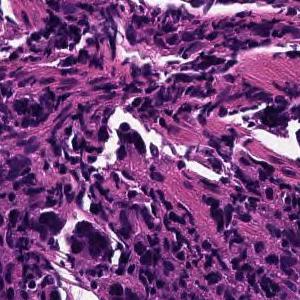
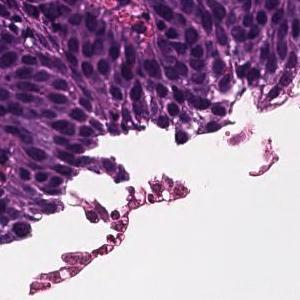
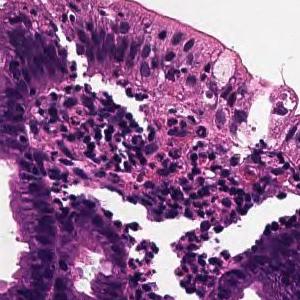
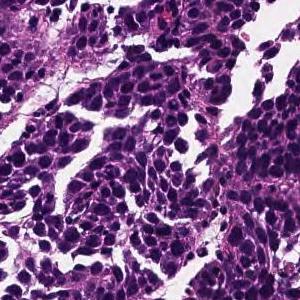
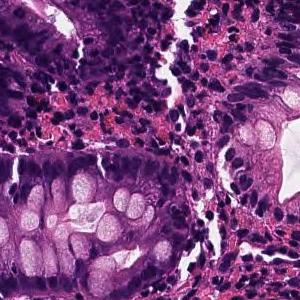
5 tiles from the same stomach biopsy slide, 300 × 300 pixels each, 20× magnification.
Pathology report for the slide these tiles were cut from. Both the report and the diagnosis are for the whole slide: these tiles need not show every feature named, and some of the tissue shown may not be tumor.
Tumor tissue consisting of cord-like or small, irregular glandular ducts fused and infiltrated is observed in the superficial epithelium. Poorly differentiated adenocarcinoma, non-solid type
"Non-solid type" is a category of the Japanese Classification of Gastric Carcinoma.
